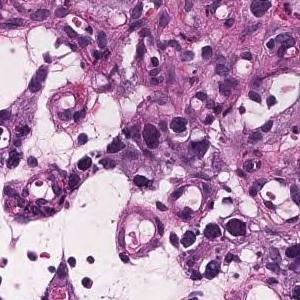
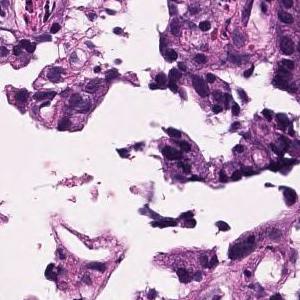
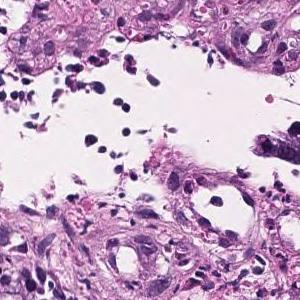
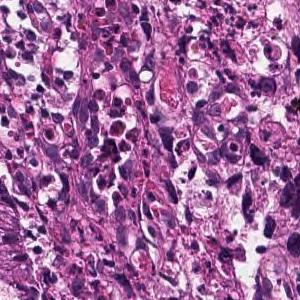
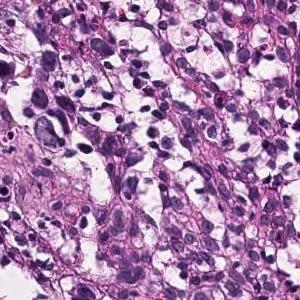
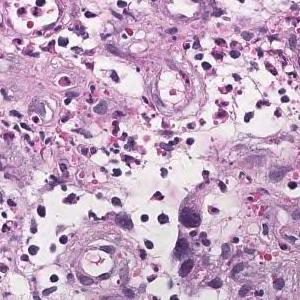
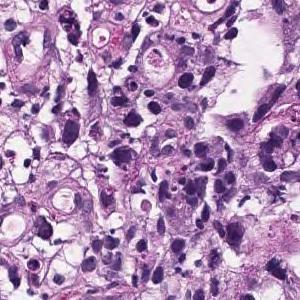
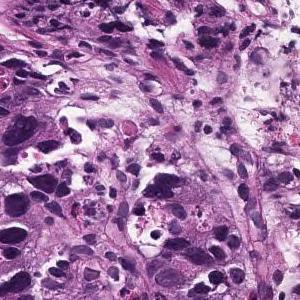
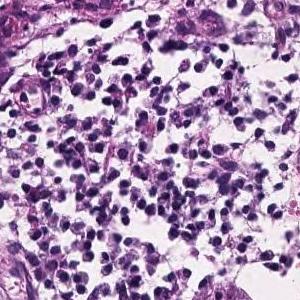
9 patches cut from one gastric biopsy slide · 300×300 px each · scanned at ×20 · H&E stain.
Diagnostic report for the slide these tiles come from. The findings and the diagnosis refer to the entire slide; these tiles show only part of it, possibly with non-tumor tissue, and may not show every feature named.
Tumor tissue consisting of medium-sized, cord-like or irregular glandular infiltration is observed in the superficial epithelium. Poorly differentiated adenocarcinoma, non-solid type or moderately differentiated tubular adenocarcinoma
"Non-solid type" is a category of the Japanese Classification of Gastric Carcinoma.
